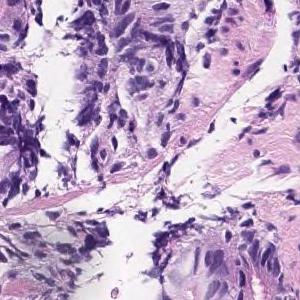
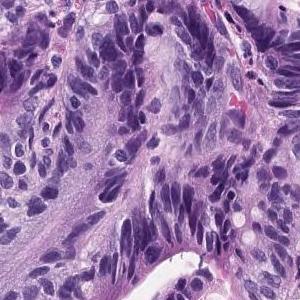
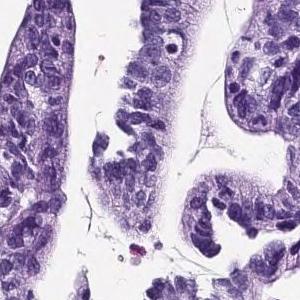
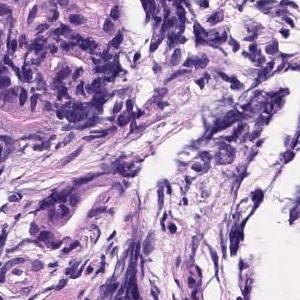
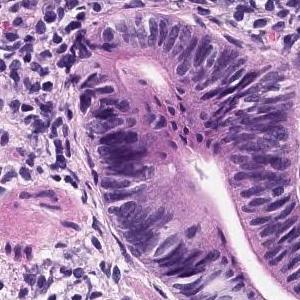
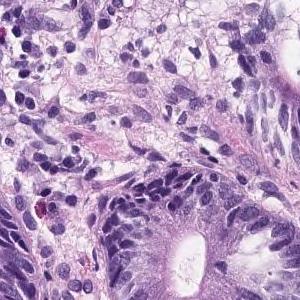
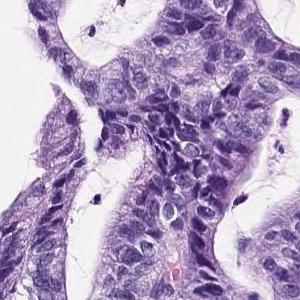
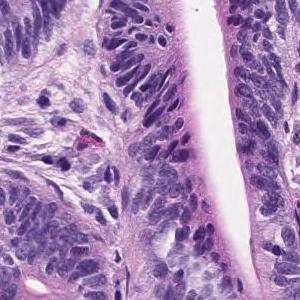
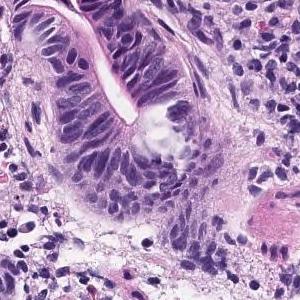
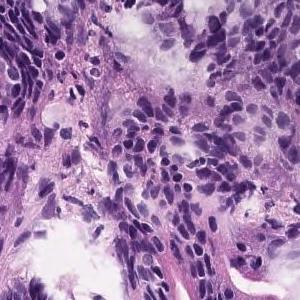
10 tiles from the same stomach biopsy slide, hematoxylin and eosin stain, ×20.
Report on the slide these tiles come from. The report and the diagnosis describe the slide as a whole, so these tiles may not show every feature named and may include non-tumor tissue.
On the superficial epithelium, tumor tissue consisting of medium-sized to large-sized, round or irregular glandular duct growth images is observed. Well differentiated adenocarcinoma.
Subtype: Well differentiated tubular adenocarcinoma.
